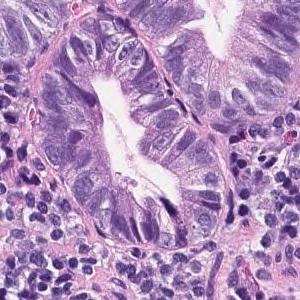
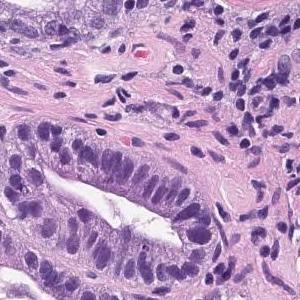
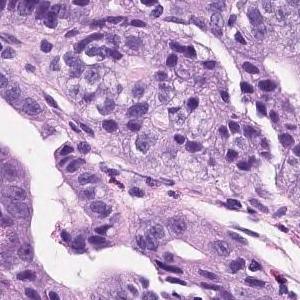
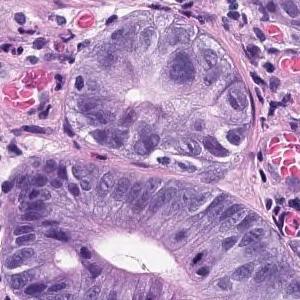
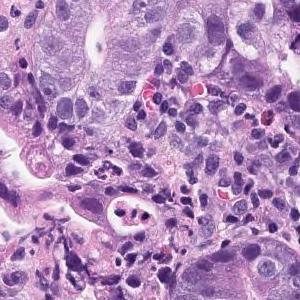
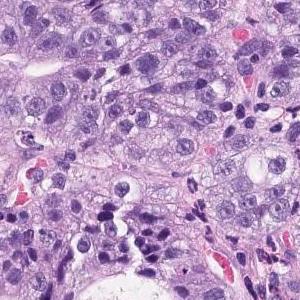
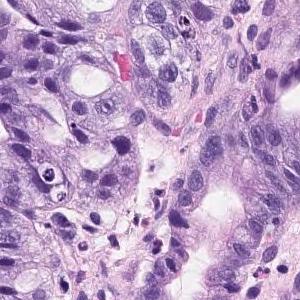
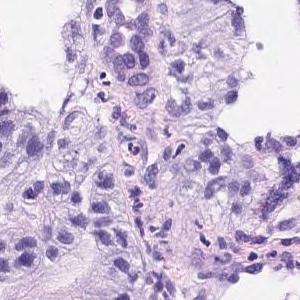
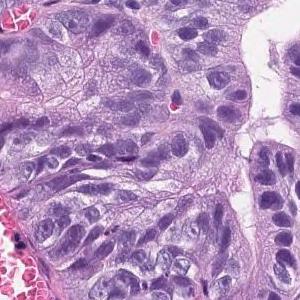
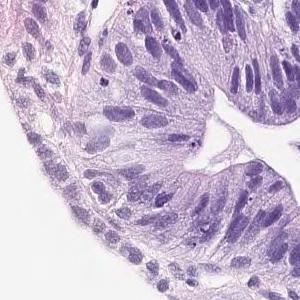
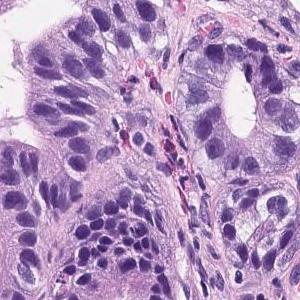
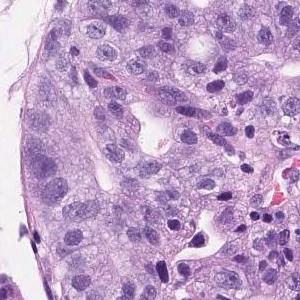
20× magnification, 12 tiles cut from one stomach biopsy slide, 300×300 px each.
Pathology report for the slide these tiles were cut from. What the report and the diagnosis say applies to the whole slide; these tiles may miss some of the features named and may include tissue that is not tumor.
Atypical cells with atypical nuclei forming irregular atypical ducts and growing in a conformative manner. Well differentiated tubular adenocarcinoma
